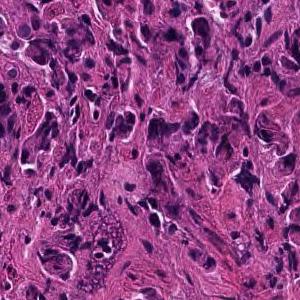
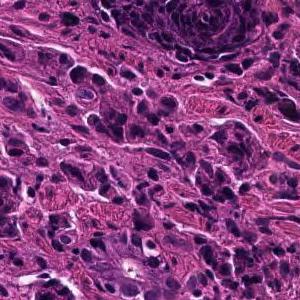
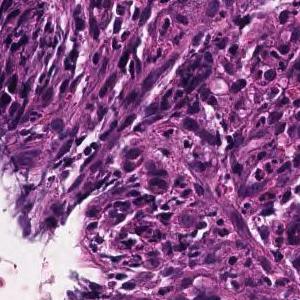
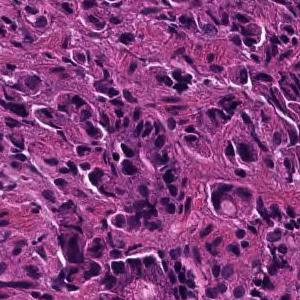
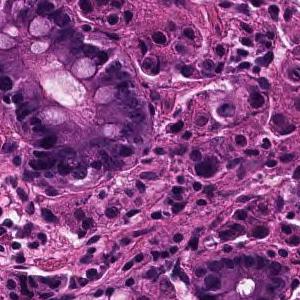
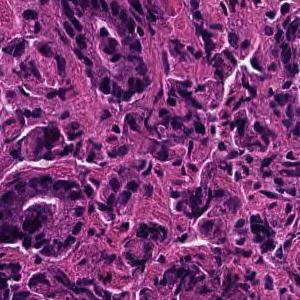
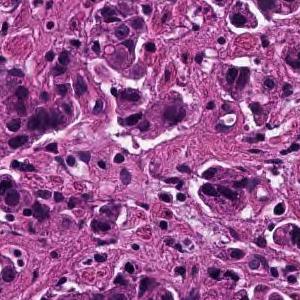
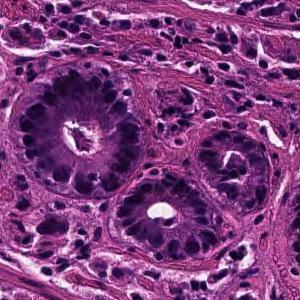
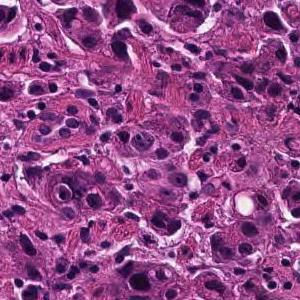
9 tiles from the same stomach biopsy slide; 300 × 300 pixels each.
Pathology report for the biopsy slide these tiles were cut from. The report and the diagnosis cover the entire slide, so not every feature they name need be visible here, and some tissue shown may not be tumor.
Tumor tissue consisting of cord-like or small, irregular glandular ducts fused and infiltrated is observed in the superficial epithelium. Poorly differentiated adenocarcinoma, non-solid type
"Non-solid type" is a category of the Japanese Classification of Gastric Carcinoma.
